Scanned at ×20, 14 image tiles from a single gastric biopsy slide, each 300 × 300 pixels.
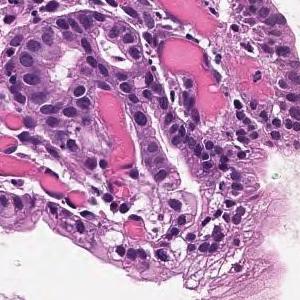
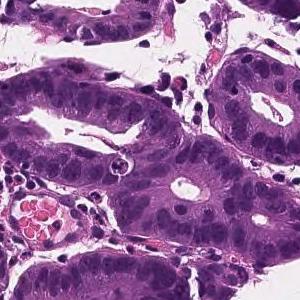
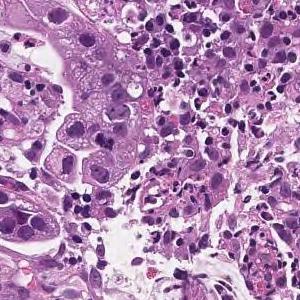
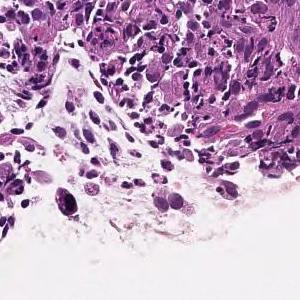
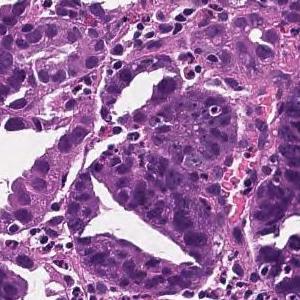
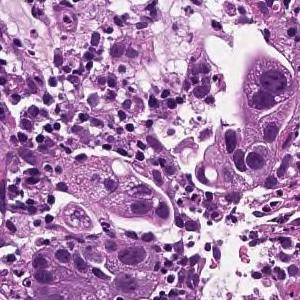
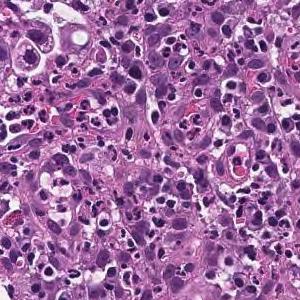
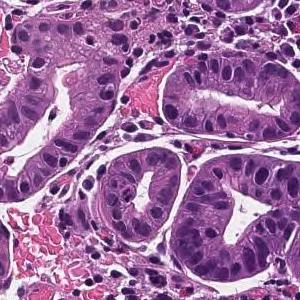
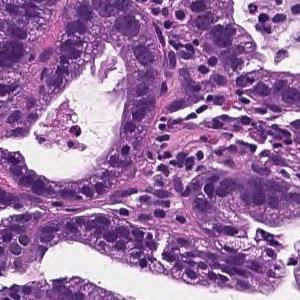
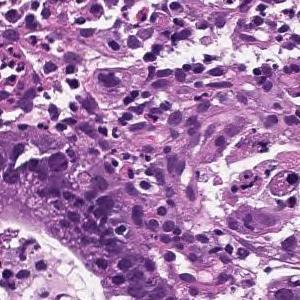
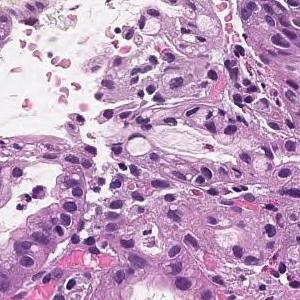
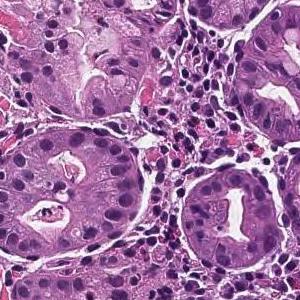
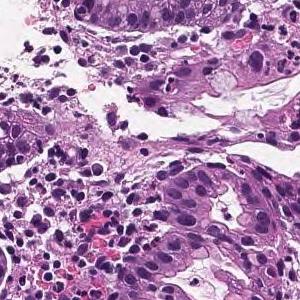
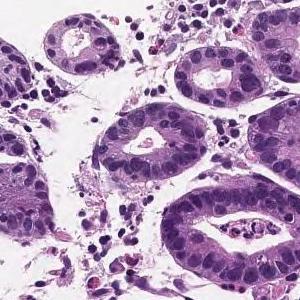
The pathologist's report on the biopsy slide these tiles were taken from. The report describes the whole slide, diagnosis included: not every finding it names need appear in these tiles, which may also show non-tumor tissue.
On the superficial epithelium, tumor tissue consisting of medium-sized irregular or small round gland ducts showing a small cord-like shape and infiltrating is observed. Well differentiated tubular adenocarcinoma or Poorly differentiated adenocarcinoma, non-solid type
Dataset label: well differentiated tubular adenocarcinoma.
The non-solid type named here is a Japanese Classification of Gastric Carcinoma category.
